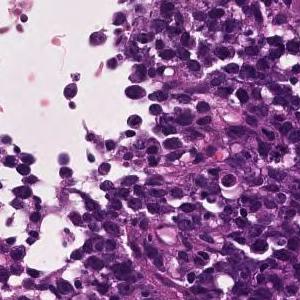
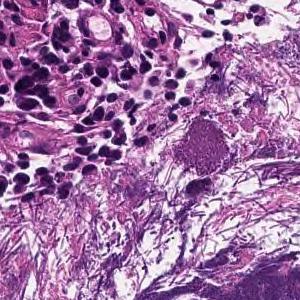
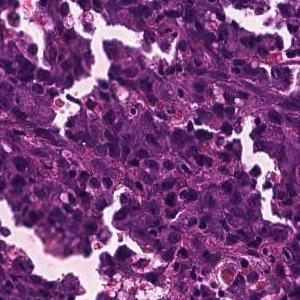
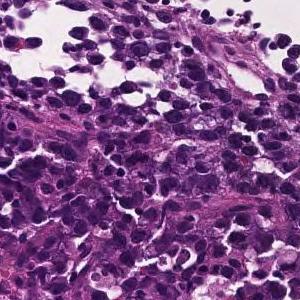
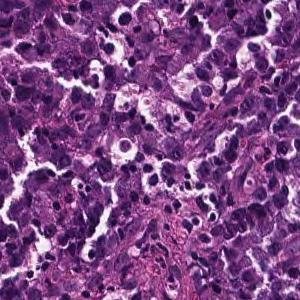
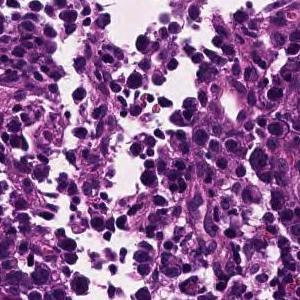
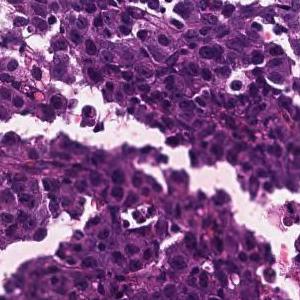
H&E · 7 tiles from the same stomach biopsy slide.
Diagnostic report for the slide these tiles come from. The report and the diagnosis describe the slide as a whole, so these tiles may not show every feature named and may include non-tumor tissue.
The superficial epithelium shows a large sheet-like shape, and some tumor tissue infiltrates with small irregular ducts. Poorly differentiated adenocarcinoma, solid-type
Histologic type: Poorly differentiated adenocarcinoma, solid type (Japanese Classification of Gastric Carcinoma). The WHO 2019 equivalent is tubular adenocarcinoma, poorly differentiated.
